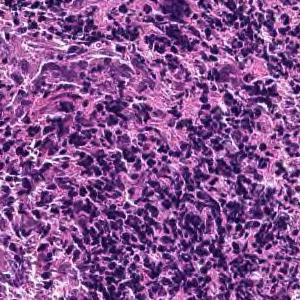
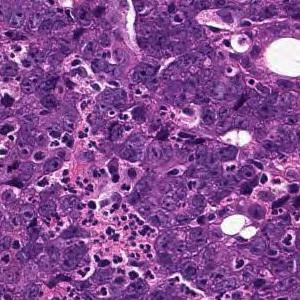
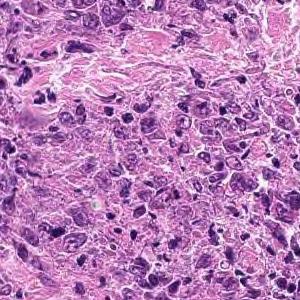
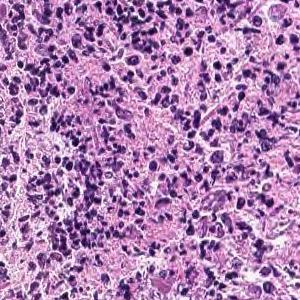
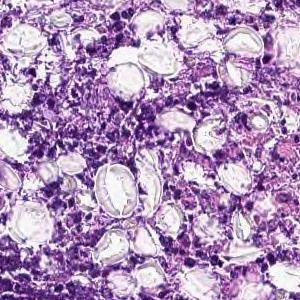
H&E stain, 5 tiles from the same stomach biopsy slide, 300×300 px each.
Diagnostic report for the slide these tiles come from. The report describes the whole slide, diagnosis included: not every finding it names need appear in these tiles, which may also show non-tumor tissue.
Cancers with polygonal nuclei do not show glandular formation and are densely, in part, cord-like and proliferate. Poorly differentiated adenocarcinoma
Tumor subtype: poorly differentiated adenocarcinoma, non-solid type.
The term "non-solid type" comes from the Japanese Classification of Gastric Carcinoma.
